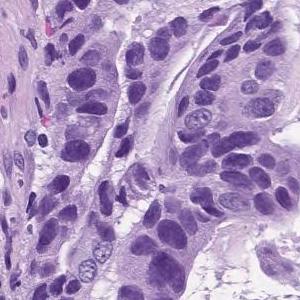
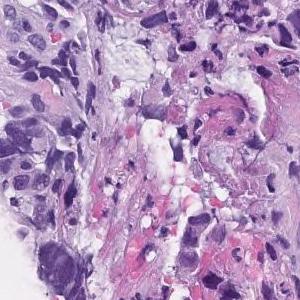
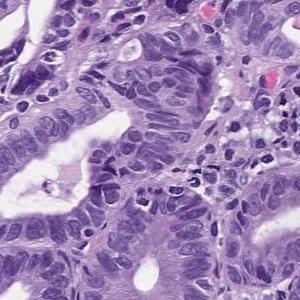
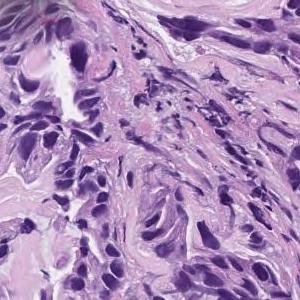
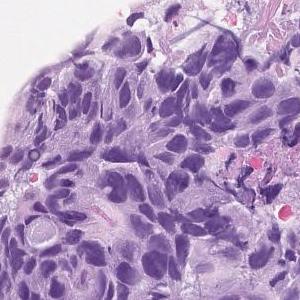
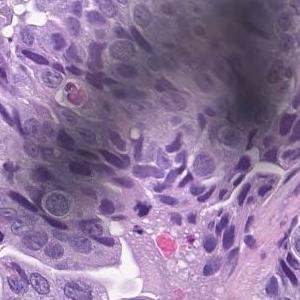
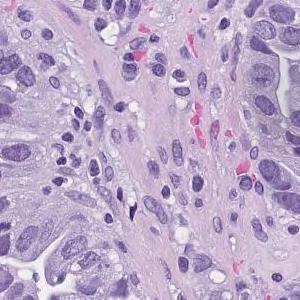
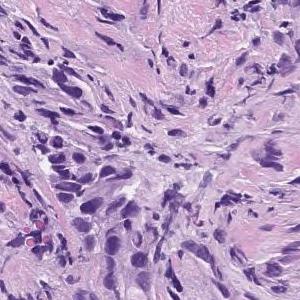
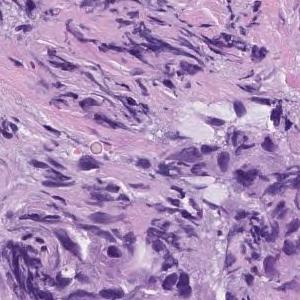
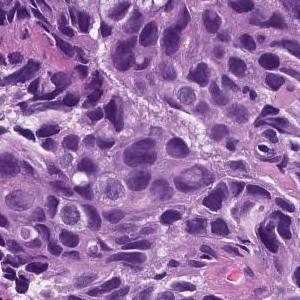
10 patches cut from one gastric biopsy slide, ×20, H&E stain.
Pathology report for the biopsy slide these tiles were cut from. The report and the diagnosis describe the slide as a whole, so these tiles may not show every feature named and may include non-tumor tissue.
In the superficial epithelium, tumor tissue that invades by forming medium-sized to small, irregular ducts is observed. moderately differentiated tubular adenocarcinoma.
